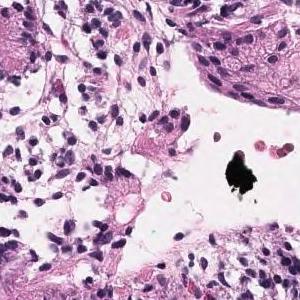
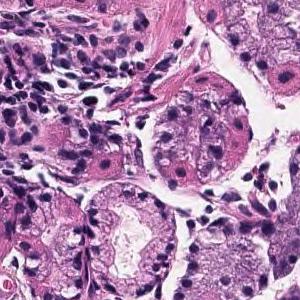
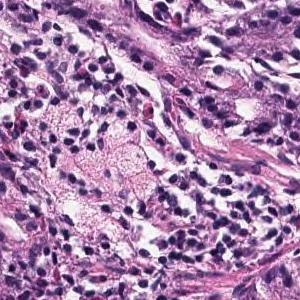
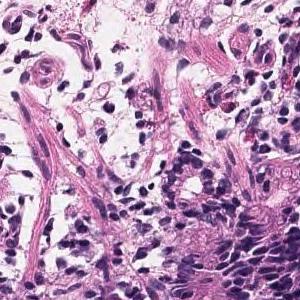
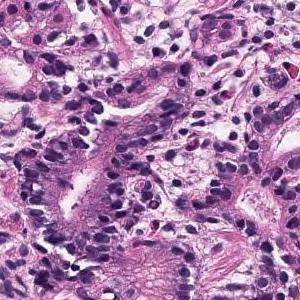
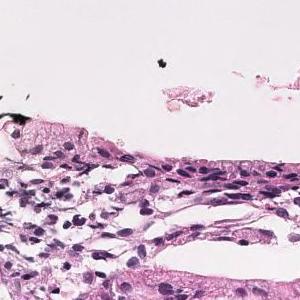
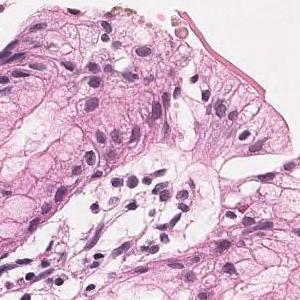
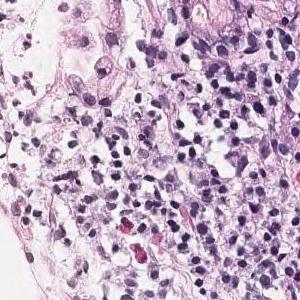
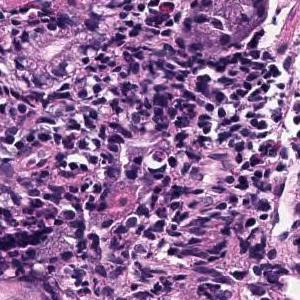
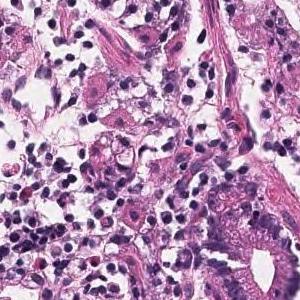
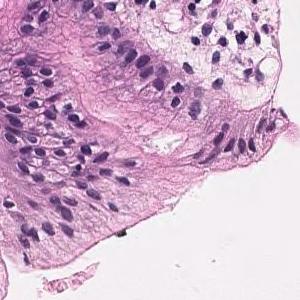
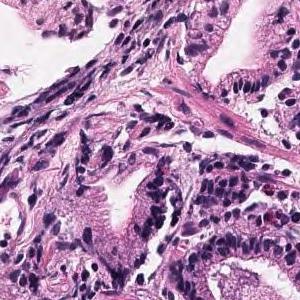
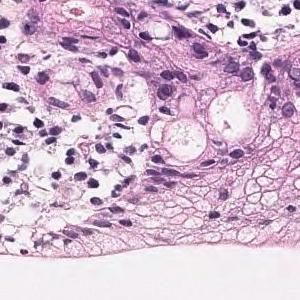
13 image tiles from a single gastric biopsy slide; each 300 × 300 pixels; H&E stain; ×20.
Pathology report for the slide these tiles were cut from. The findings and the diagnosis refer to the entire slide; these tiles show only part of it, possibly with non-tumor tissue, and may not show every feature named.
Tumor tissue that grows and grows is observed, showing a medium-sized round or irregular duct. moderately differentiated tubular adenocarcinoma
